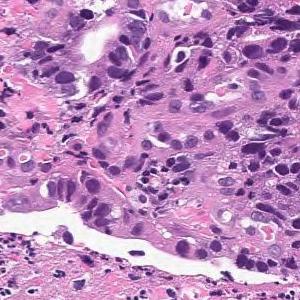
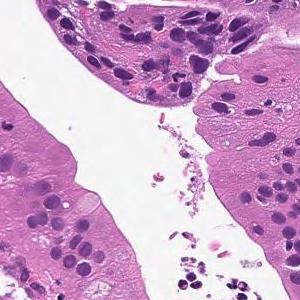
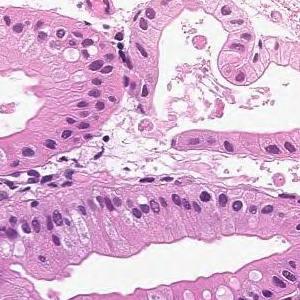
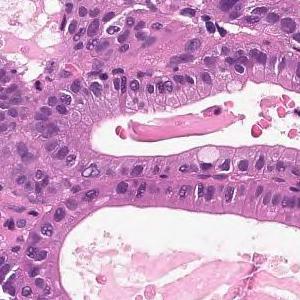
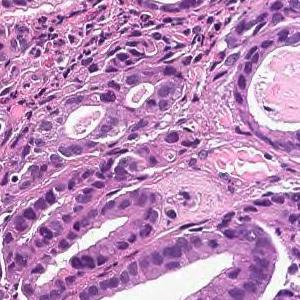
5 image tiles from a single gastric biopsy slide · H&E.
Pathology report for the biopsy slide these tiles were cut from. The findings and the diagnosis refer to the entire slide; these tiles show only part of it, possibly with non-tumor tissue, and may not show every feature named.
From the superficial epithelium to the muscularis mucosae, tumor tissue consisting of medium-sized and irregular glandular ducts infiltrating is observed. Well differentiated tubular adenocarcinoma
